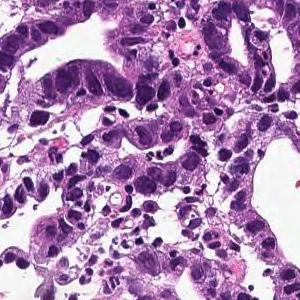
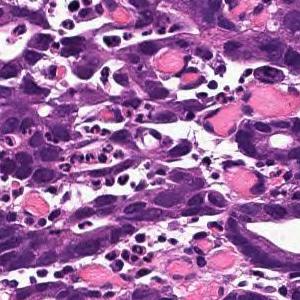
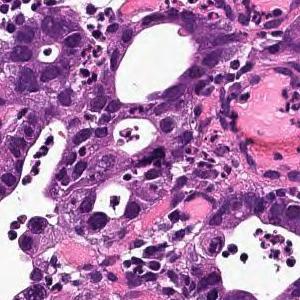
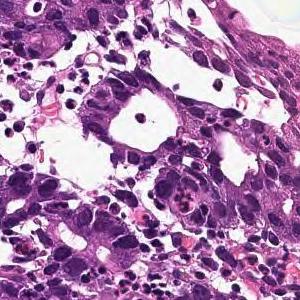
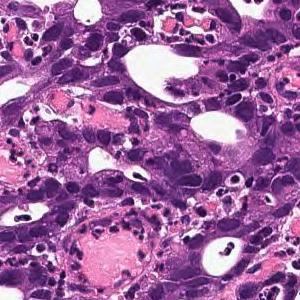
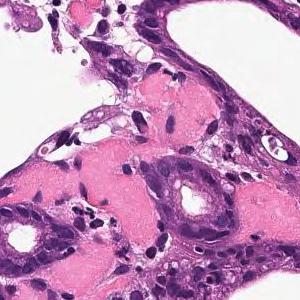
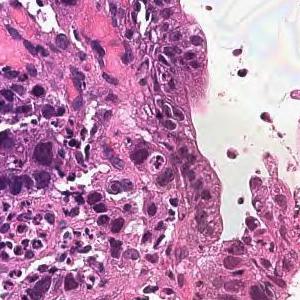
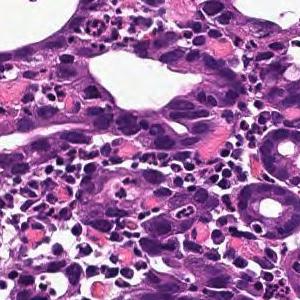
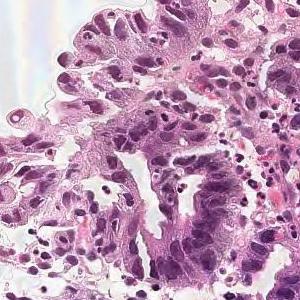
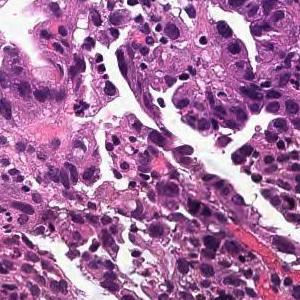
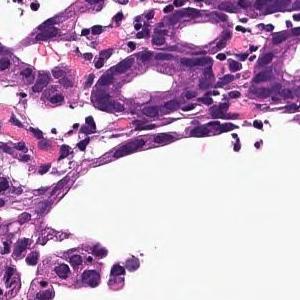
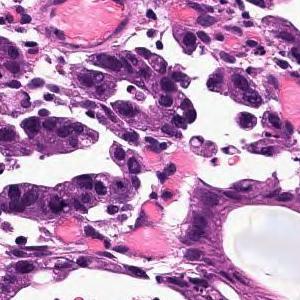
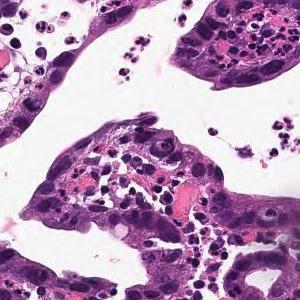
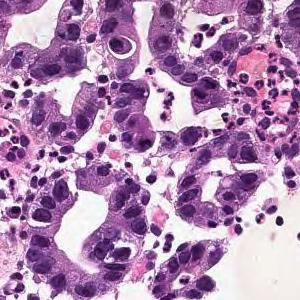
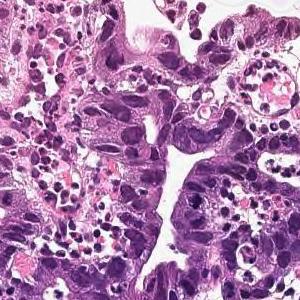
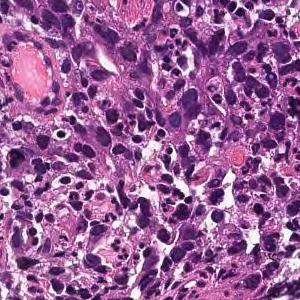
H&E, 16 tiles from the same stomach biopsy slide, 300 × 300 pixels each.
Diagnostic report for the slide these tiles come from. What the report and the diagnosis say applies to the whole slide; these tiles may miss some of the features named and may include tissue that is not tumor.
On the superficial epithelium, a tumor tissue consisting of a large, irregular glandular duct partially fused and infiltrating with a small alveolar shape is observed. Well or moderately differentiated tubular adenocarcinoma (well differentiated tubular adenocarcinoma, moderately differentiated tubular adenocarcinoma)
Subtype: Well to moderately differentiated tubular adenocarcinoma.
